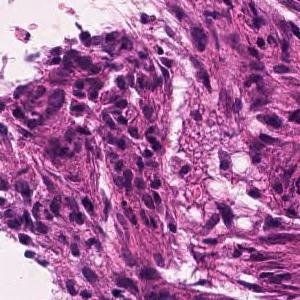
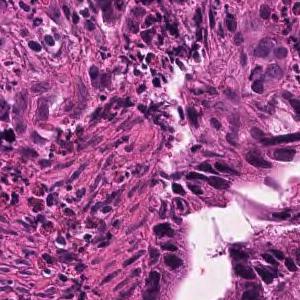
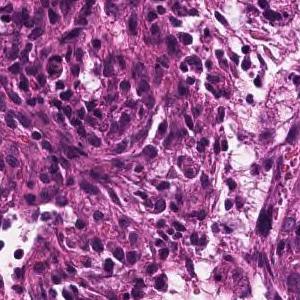
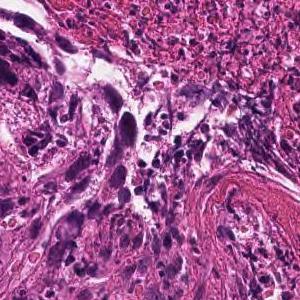
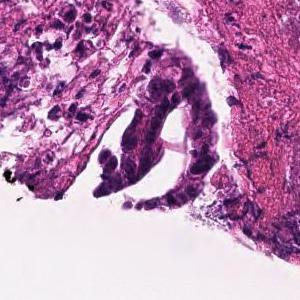
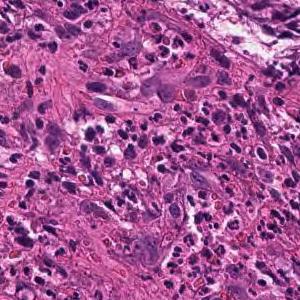
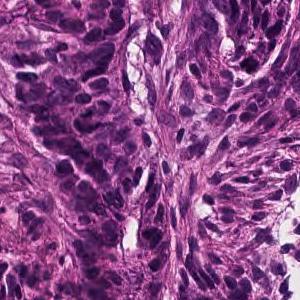
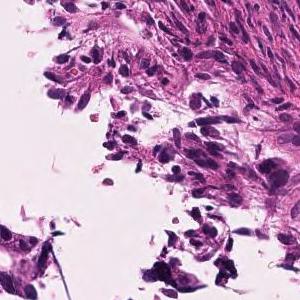
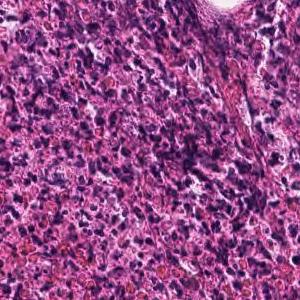
9 tiles cut from one stomach biopsy slide · 300×300 px each · hematoxylin and eosin stain · scanned at ×20.
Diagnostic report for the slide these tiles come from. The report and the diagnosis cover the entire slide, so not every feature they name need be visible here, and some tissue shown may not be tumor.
In the superficial epithelium, tumor tissue that invades by forming medium-sized to small, irregular ducts is observed. moderately differentiated tubular adenocarcinoma.
